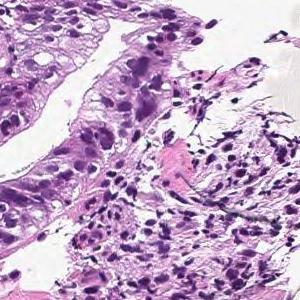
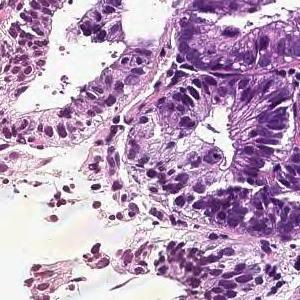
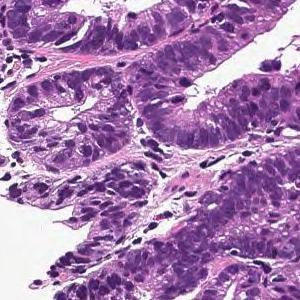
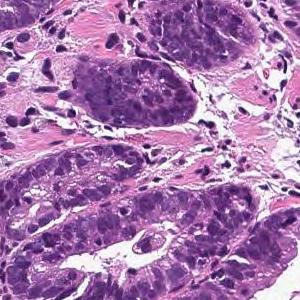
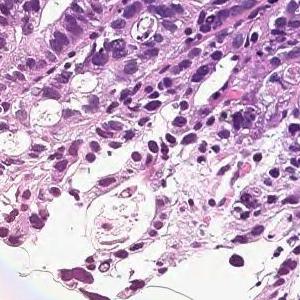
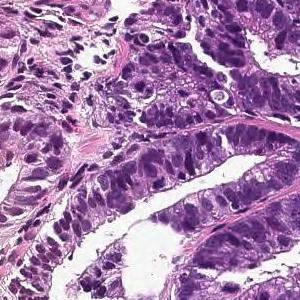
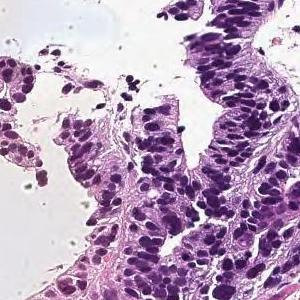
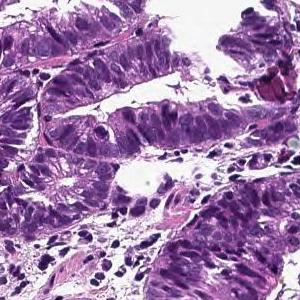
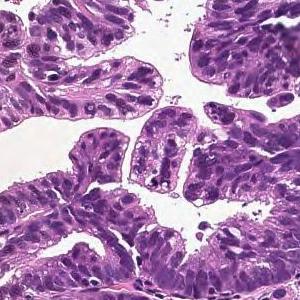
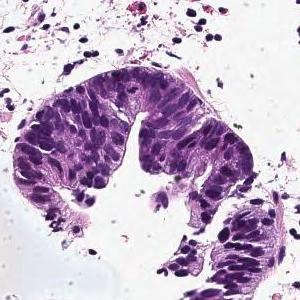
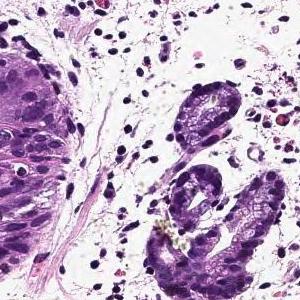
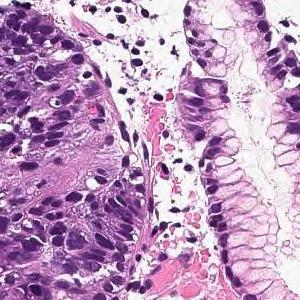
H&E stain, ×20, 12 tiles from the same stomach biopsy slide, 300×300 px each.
Diagnostic report for the slide these tiles come from. The report describes the whole slide, diagnosis included: not every finding it names need appear in these tiles, which may also show non-tumor tissue.
On the superficial epithelium, tumor tissue consisting of large, irregular glandular ducts partially fused and infiltrated is observed. Well to moderately differentiated tubular adenocarcinoma (well differentiated tubular adenocarcinoma, moderately differentiated tubular adenocarcinoma)
Classified as well to moderately differentiated tubular adenocarcinoma.
